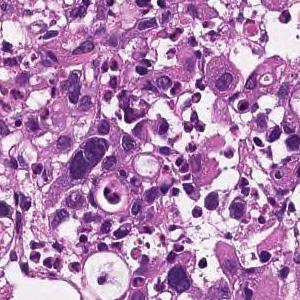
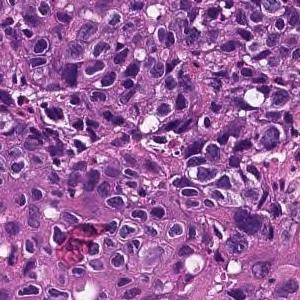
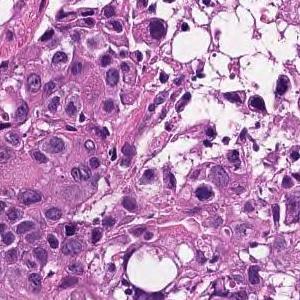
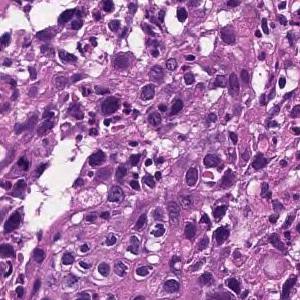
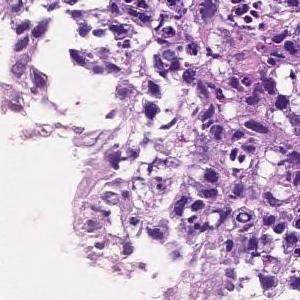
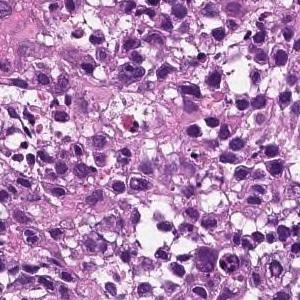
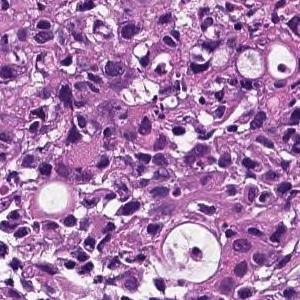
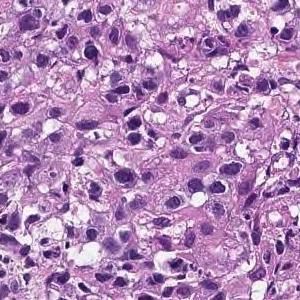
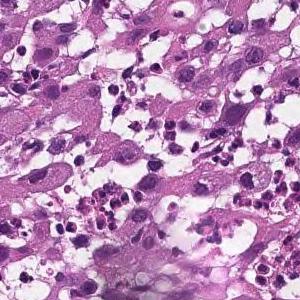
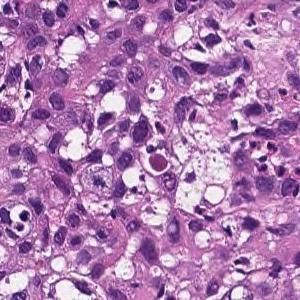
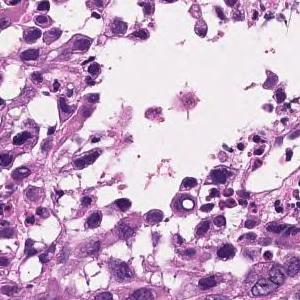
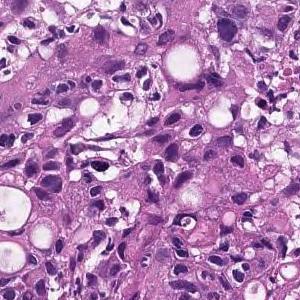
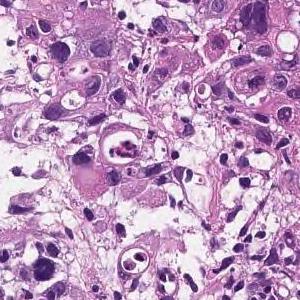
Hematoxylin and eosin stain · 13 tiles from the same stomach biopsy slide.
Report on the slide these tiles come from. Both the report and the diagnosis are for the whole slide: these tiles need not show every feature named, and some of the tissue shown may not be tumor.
The superficial epithelium shows a large sheet-like shape, and some tumor tissue infiltrates with small irregular ducts. Poorly differentiated adenocarcinoma, solid-type
Subtype: Poorly differentiated adenocarcinoma, solid type. This name comes from the Japanese Classification of Gastric Carcinoma; the WHO 2019 classification calls it tubular adenocarcinoma, poorly differentiated.
